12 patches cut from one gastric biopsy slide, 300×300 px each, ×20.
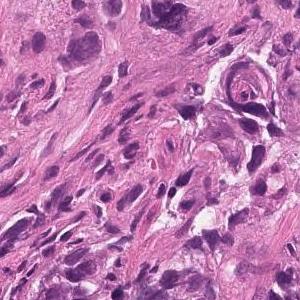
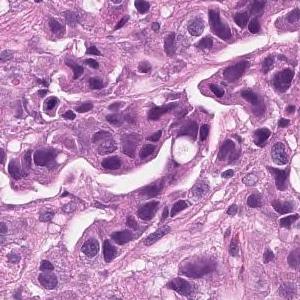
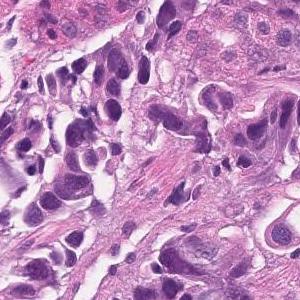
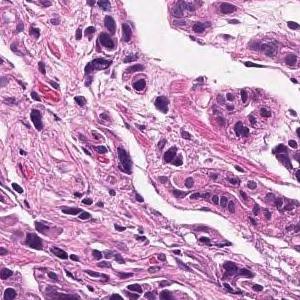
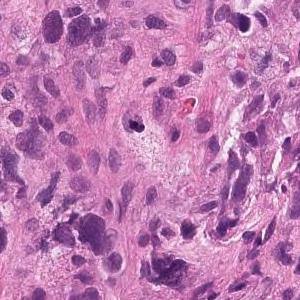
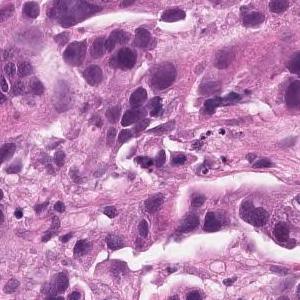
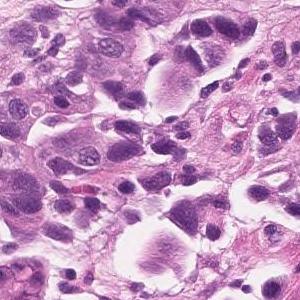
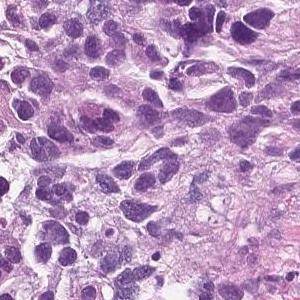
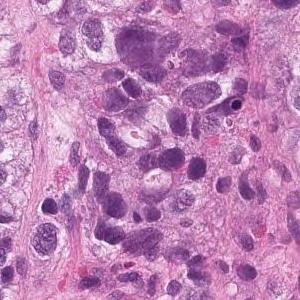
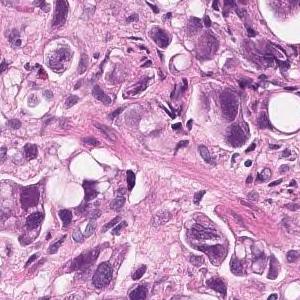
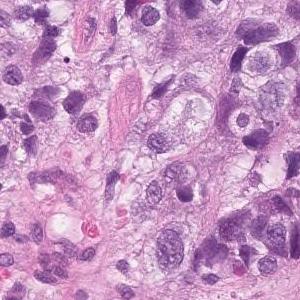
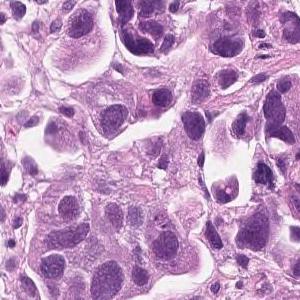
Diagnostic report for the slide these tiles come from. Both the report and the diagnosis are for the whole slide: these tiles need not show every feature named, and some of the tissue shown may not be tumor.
Tumor tissue that infiltrates the epithelium in an alveolar manner. Poorly differentiated adenocarcinoma, solid-type
Histologic type: Poorly differentiated adenocarcinoma, solid type. This name comes from the Japanese Classification of Gastric Carcinoma; the WHO 2019 classification calls it tubular adenocarcinoma, poorly differentiated.
